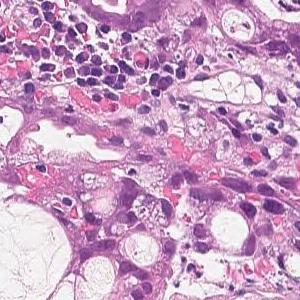
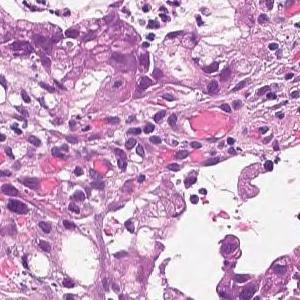
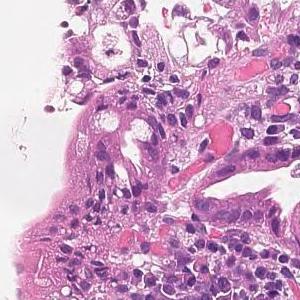
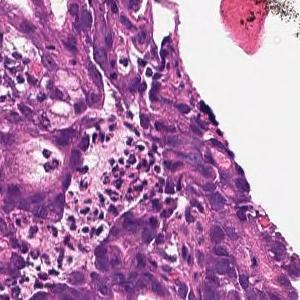
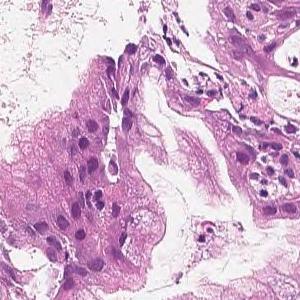
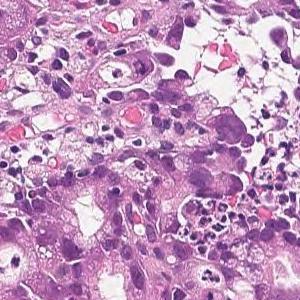
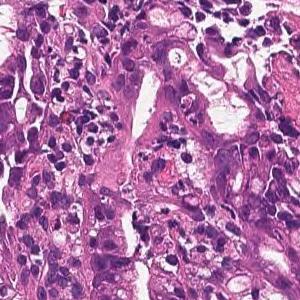
7 tiles from the same stomach biopsy slide · hematoxylin and eosin stain.
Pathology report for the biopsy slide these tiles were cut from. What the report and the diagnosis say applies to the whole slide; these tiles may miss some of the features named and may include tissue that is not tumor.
In the superficial epithelium, tumor tissue that invades by forming medium-sized to small, irregular ducts is observed. moderately differentiated tubular adenocarcinoma.
